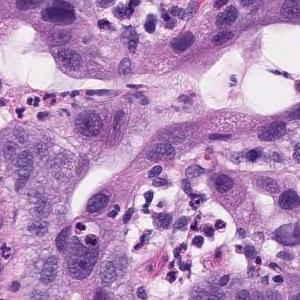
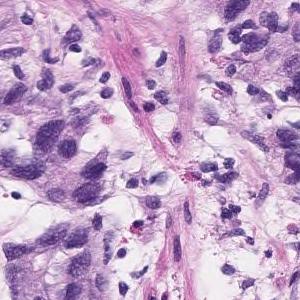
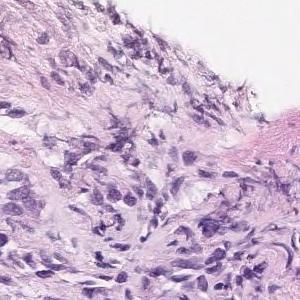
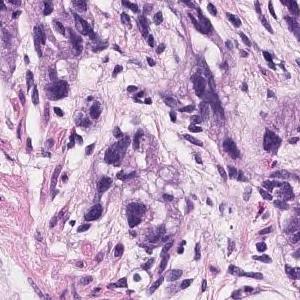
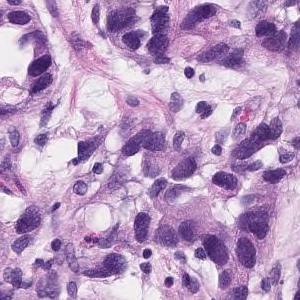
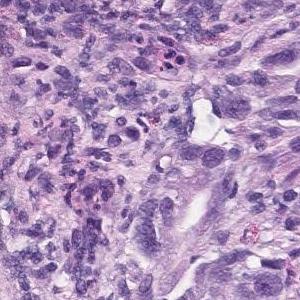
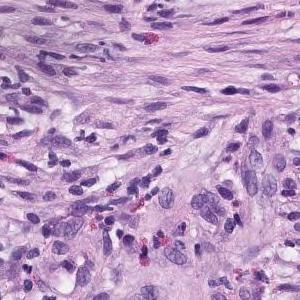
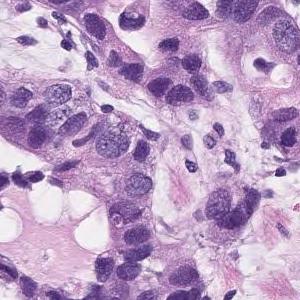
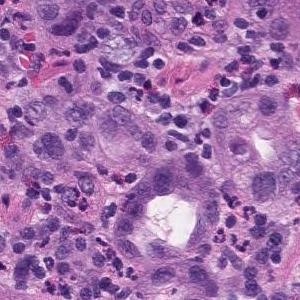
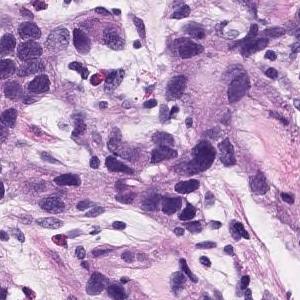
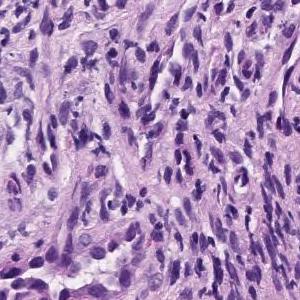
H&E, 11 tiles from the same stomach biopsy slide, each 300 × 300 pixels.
Diagnostic report for the slide these tiles come from. Both the report and the diagnosis are for the whole slide: these tiles need not show every feature named, and some of the tissue shown may not be tumor.
Group 5, Adenocarcinoma. Moderately to poorly differentiated adenocarcinoma
